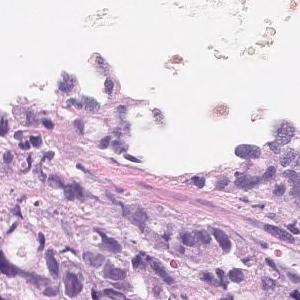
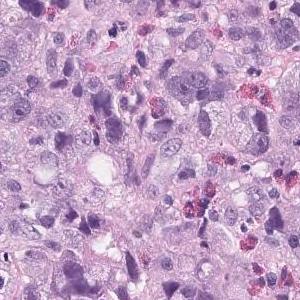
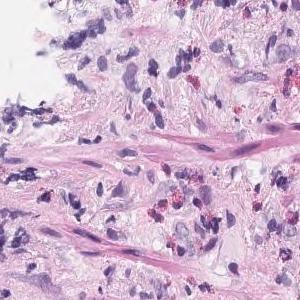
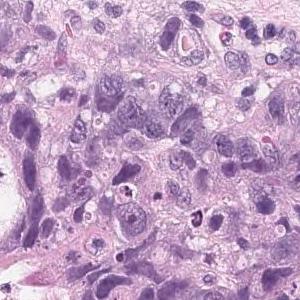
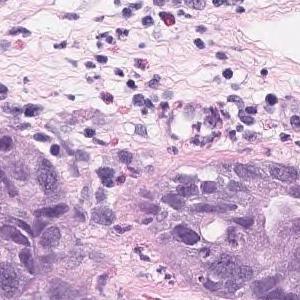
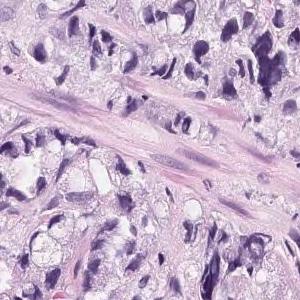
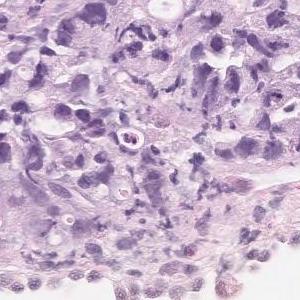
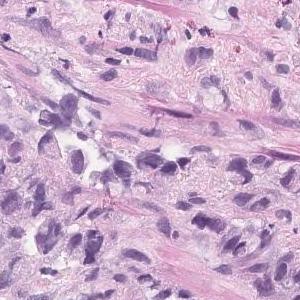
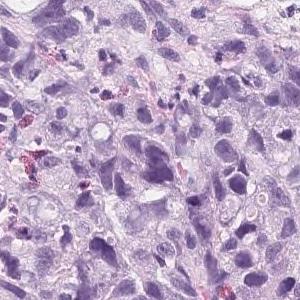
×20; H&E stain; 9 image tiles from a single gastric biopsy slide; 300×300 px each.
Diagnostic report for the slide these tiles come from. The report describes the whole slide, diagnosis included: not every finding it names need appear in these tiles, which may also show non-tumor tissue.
Tumor tissue that infiltrates and proliferates by forming small glandular cavities in the superficial layer to the submucosa or forming a mass is observed. moderately differentiated tubular adenocarcinoma
